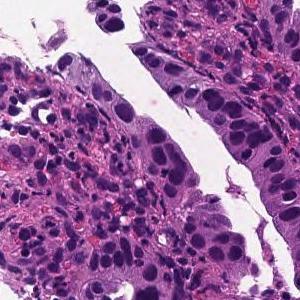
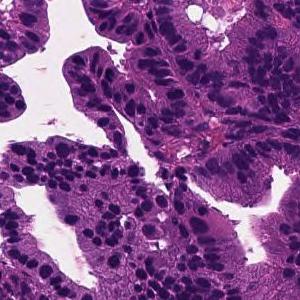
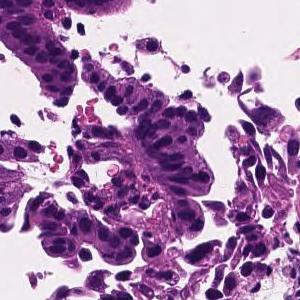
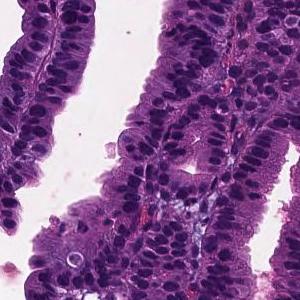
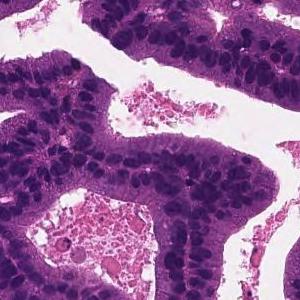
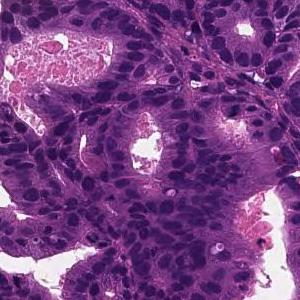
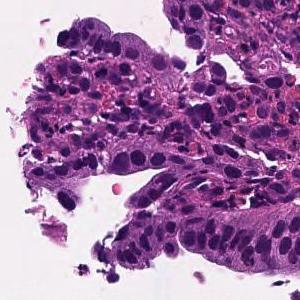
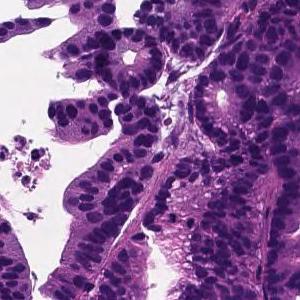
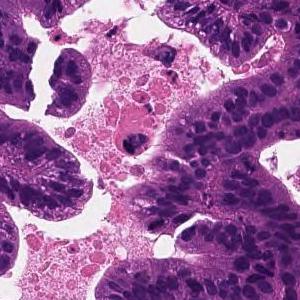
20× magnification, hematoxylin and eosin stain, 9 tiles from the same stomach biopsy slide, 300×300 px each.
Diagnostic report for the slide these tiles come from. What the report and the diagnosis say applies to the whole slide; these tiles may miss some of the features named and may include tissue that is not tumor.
Tumor cells are large, highly columnar, large club-shaped nuclei, and are associated with chromatin aggregation. Papillary adenocarcinoma.
